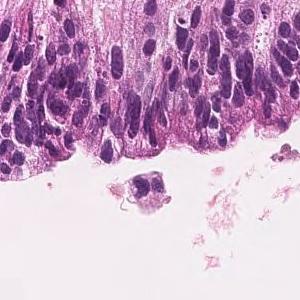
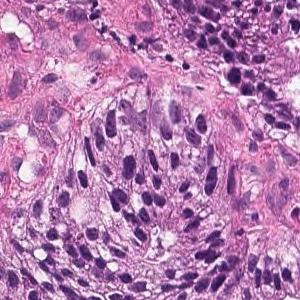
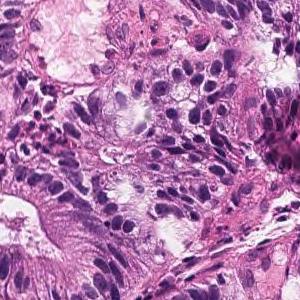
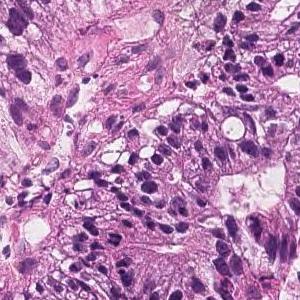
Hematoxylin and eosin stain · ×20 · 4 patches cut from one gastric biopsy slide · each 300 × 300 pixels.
Diagnostic report for the slide these tiles come from. The report and the diagnosis cover the entire slide, so not every feature they name need be visible here, and some tissue shown may not be tumor.
On the superficial epithelium, tumor tissue that infiltrates by forming medium-sized papillary or small irregular ducts is observed. Papillary adenocarcinoma
